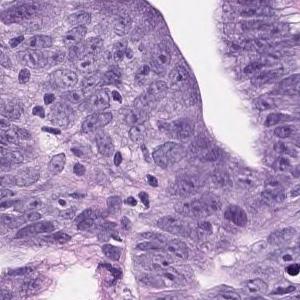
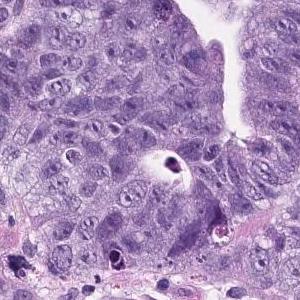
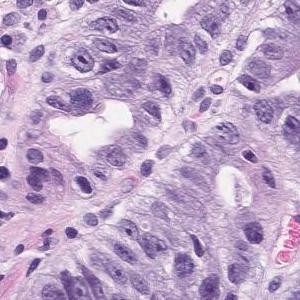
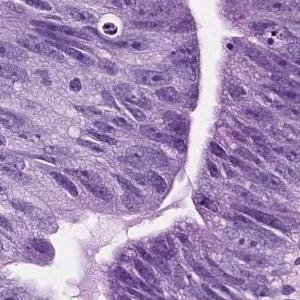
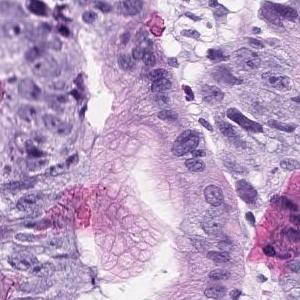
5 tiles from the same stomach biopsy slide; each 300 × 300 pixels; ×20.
Report on the slide these tiles come from. The report describes the whole slide, diagnosis included: not every finding it names need appear in these tiles, which may also show non-tumor tissue.
In the superficial epithelium, tumor tissue that invades by forming medium-sized to small, irregular ducts is observed. Moderately differentiated adenocarcinoma.
Histologic type: Moderately differentiated tubular adenocarcinoma.
